×20; H&E; 15 image tiles from a single gastric biopsy slide.
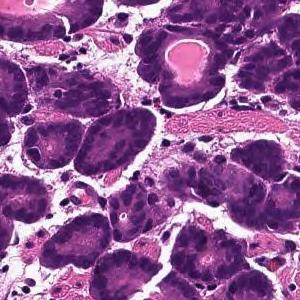
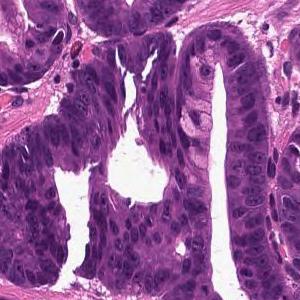
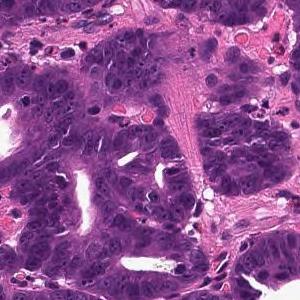
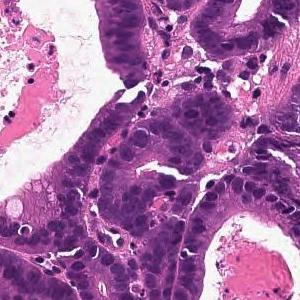
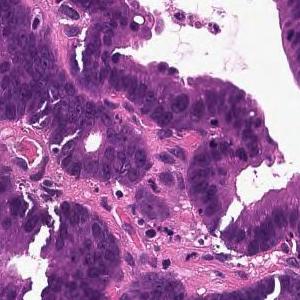
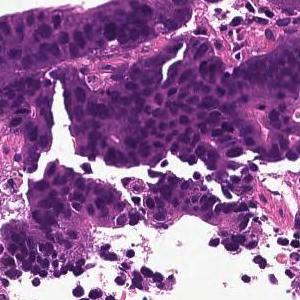
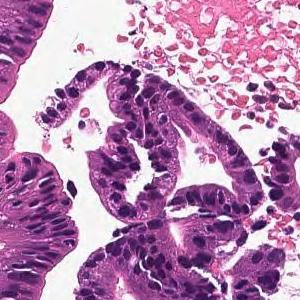
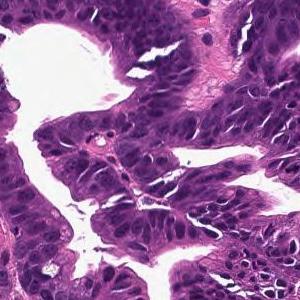
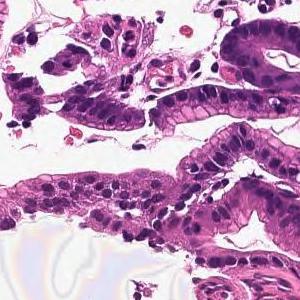
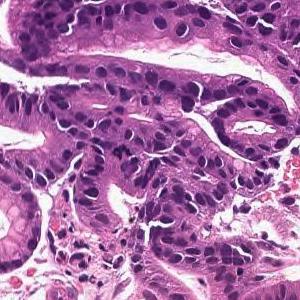
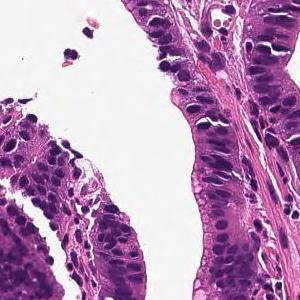
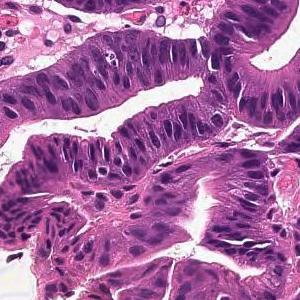
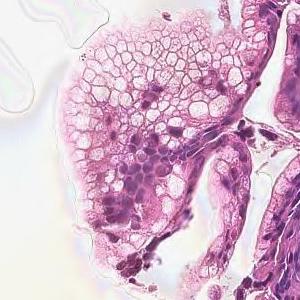
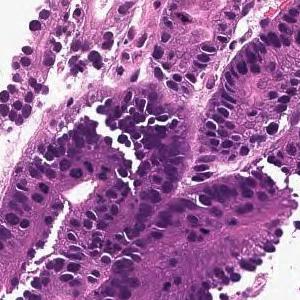
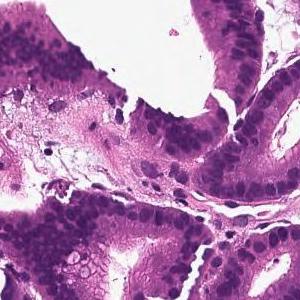
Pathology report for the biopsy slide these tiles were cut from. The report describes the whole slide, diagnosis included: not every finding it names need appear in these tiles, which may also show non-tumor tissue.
From the superficial epithelium to the muscularis mucosae, tumor tissue consisting of medium-sized and irregular glandular ducts infiltrating is observed. Well differentiated tubular adenocarcinoma
